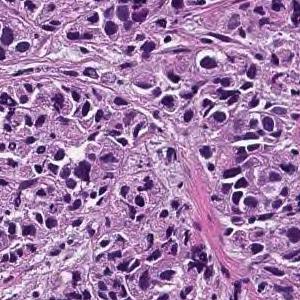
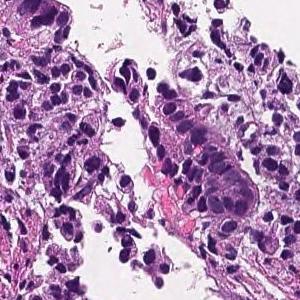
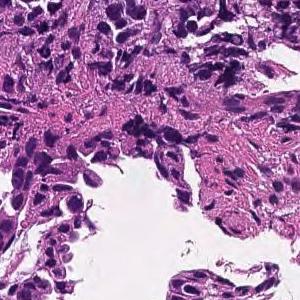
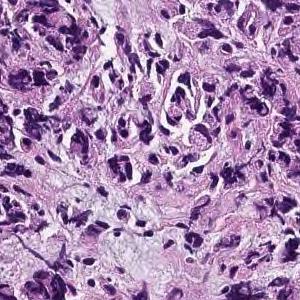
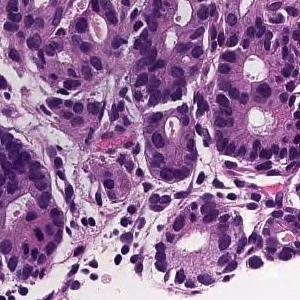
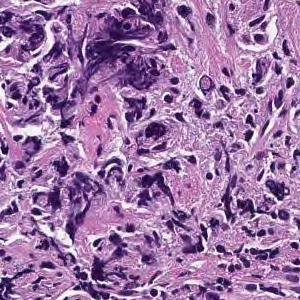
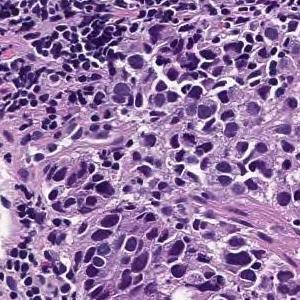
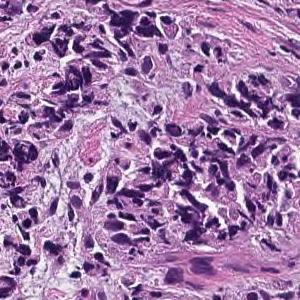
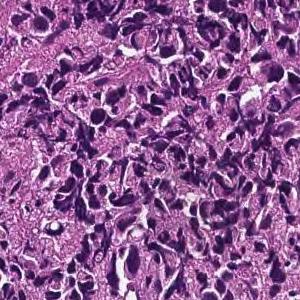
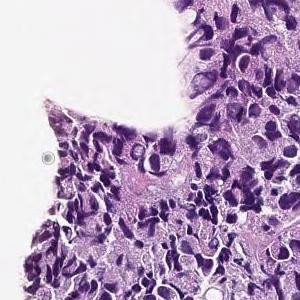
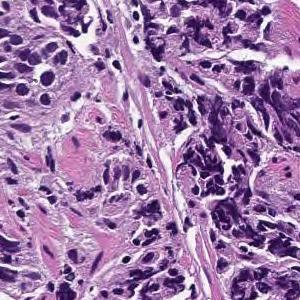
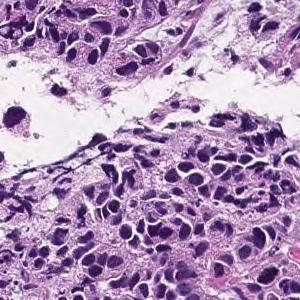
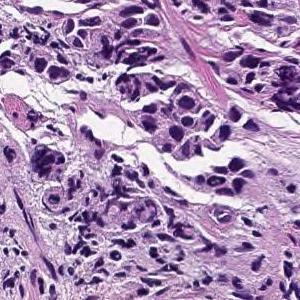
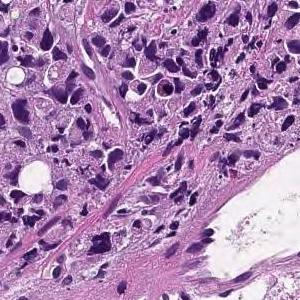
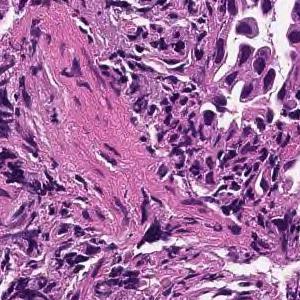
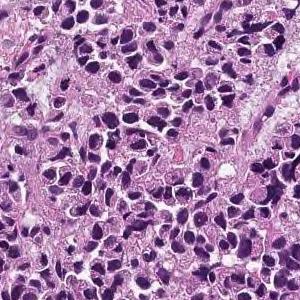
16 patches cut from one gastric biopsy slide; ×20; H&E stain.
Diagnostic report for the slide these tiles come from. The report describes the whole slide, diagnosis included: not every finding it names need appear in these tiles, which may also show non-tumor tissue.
The lamina propria shows small cord-like tumor tissue that infiltrates with fibrosis and marked chronic inflammatory cell infiltration. Poorly differentiated adenocarcinoma, non-solid type
The term "non-solid type" comes from the Japanese Classification of Gastric Carcinoma.
